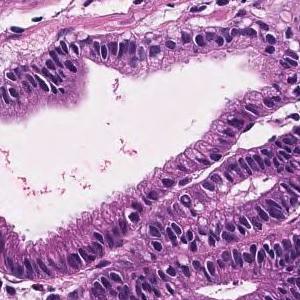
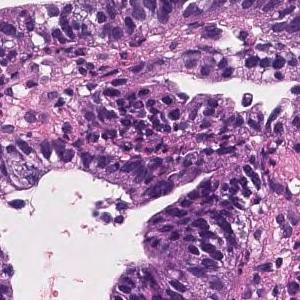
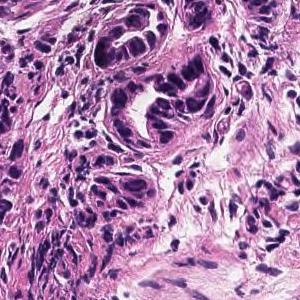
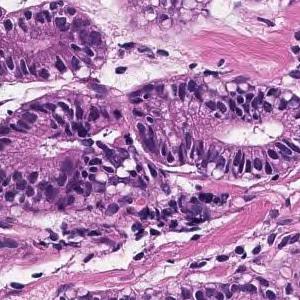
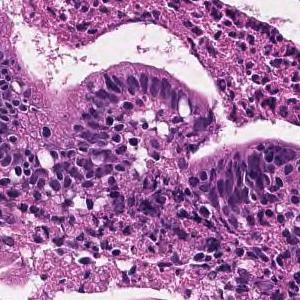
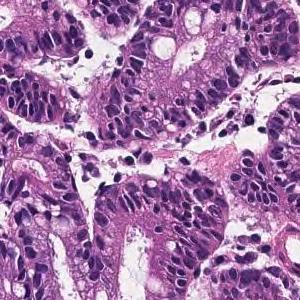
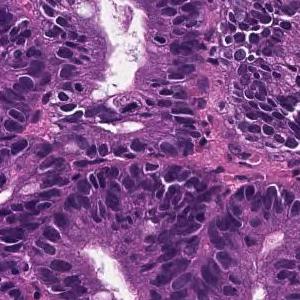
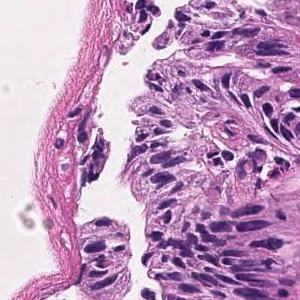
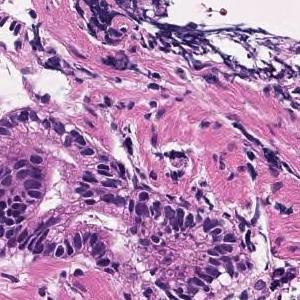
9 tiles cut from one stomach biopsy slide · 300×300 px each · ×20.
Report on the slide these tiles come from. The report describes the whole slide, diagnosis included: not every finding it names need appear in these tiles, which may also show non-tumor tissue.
Most remain in the superficial epithelium, forming medium-sized papillary or small irregular ducts and proliferating, and some tumor tissue invades the muscularis mucosae. Papillary adenocarcinoma
